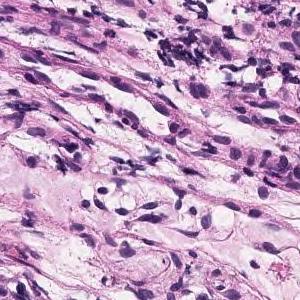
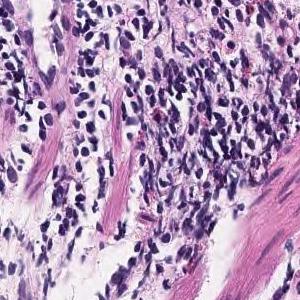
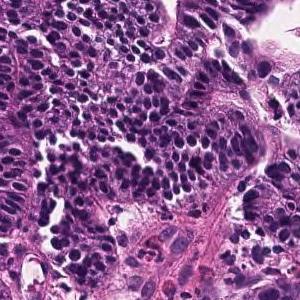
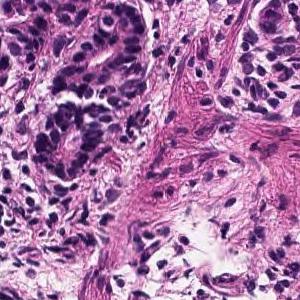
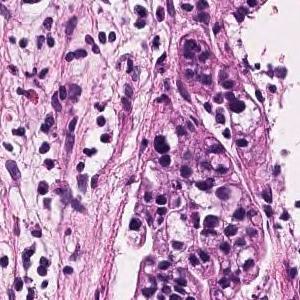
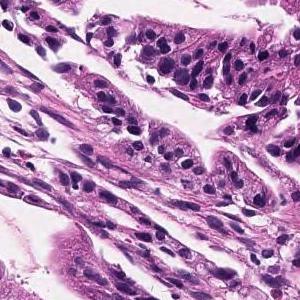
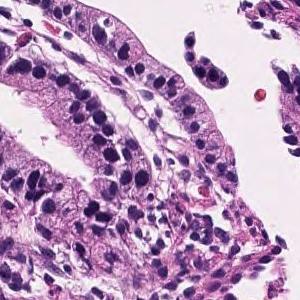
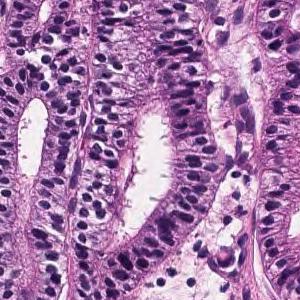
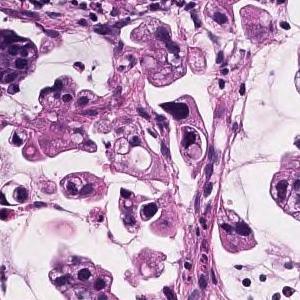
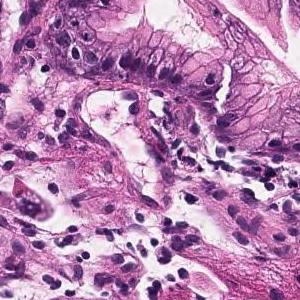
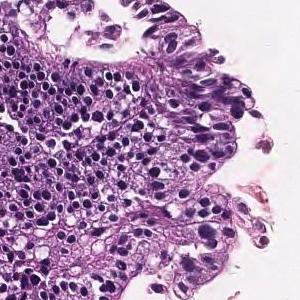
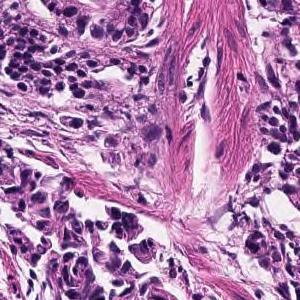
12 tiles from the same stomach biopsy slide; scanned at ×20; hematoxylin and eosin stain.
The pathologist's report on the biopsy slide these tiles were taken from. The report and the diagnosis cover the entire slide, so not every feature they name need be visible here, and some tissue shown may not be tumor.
Tumor tissue consisting of large papillary structures or irregular glandular ducts partially fused and infiltrated is observed in the superficial epithelium. Well to moderately differentiated tubular adenocarcinoma.
Labeled in the dataset as moderately differentiated tubular adenocarcinoma.
